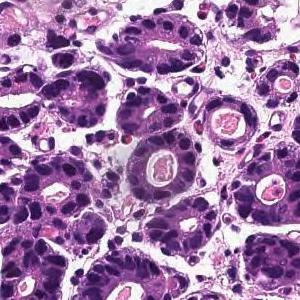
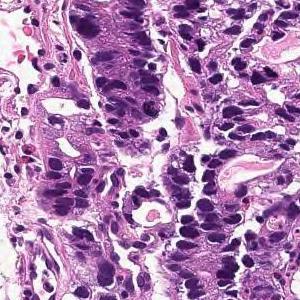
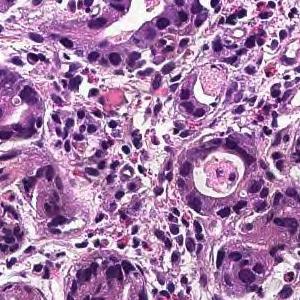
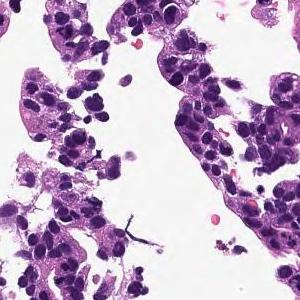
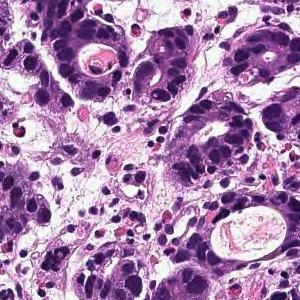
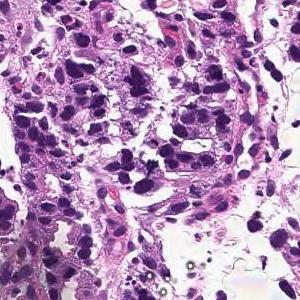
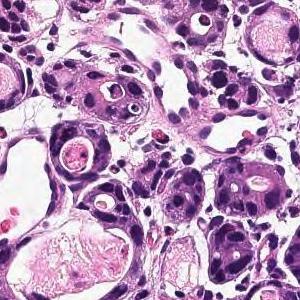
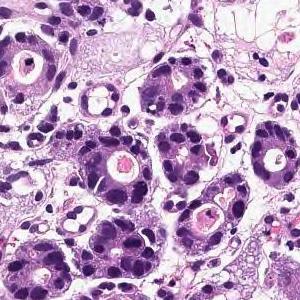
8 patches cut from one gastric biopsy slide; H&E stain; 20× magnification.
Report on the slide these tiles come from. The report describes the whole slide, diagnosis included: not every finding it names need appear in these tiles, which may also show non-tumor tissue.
In the superficial epithelium, tumor tissue that invades by forming medium-sized to small, irregular ducts is observed. moderately differentiated tubular adenocarcinoma.
